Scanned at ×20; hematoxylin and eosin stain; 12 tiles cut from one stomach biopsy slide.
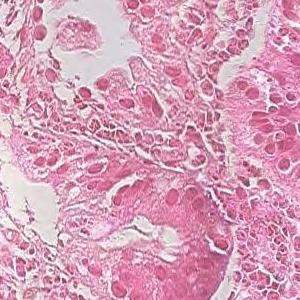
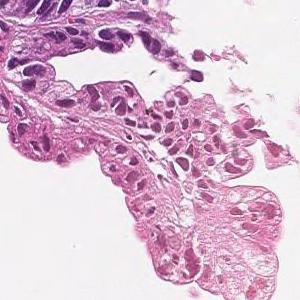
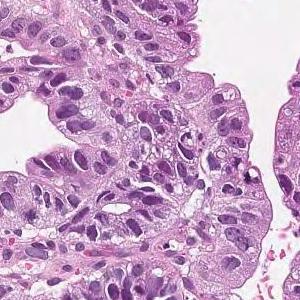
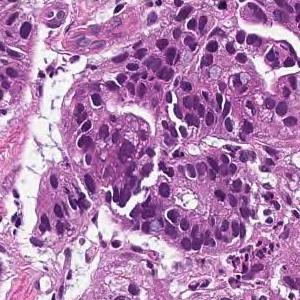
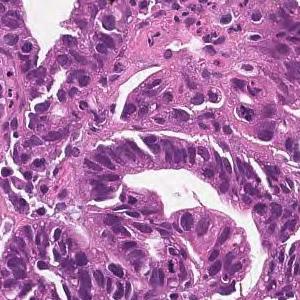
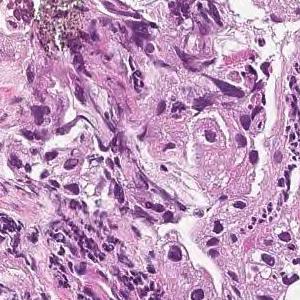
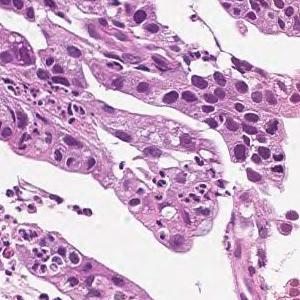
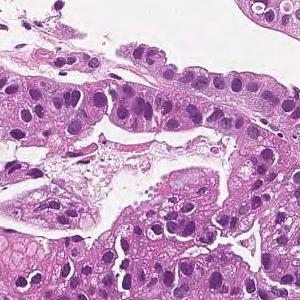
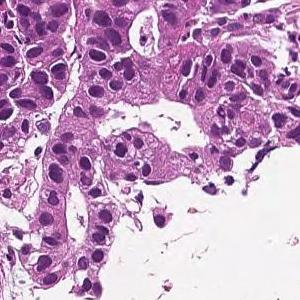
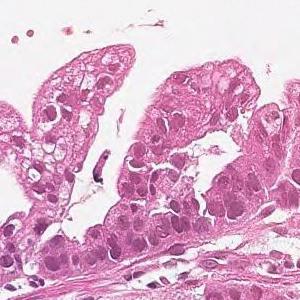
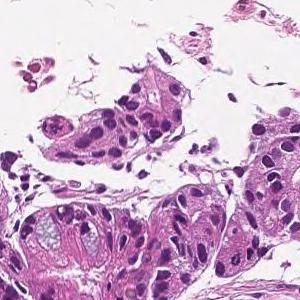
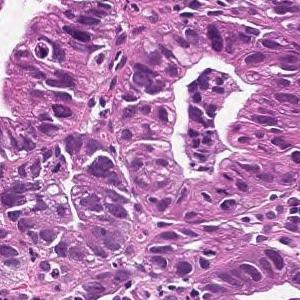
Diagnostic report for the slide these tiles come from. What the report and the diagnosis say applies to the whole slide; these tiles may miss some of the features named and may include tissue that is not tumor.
On the superficial epithelium, tumor tissue that infiltrates by forming medium-sized papillary or small irregular ducts is observed. Papillary adenocarcinoma
